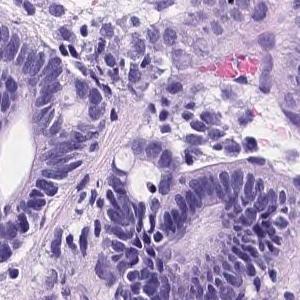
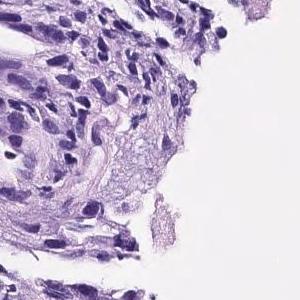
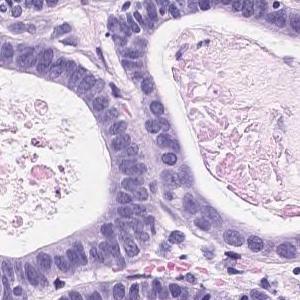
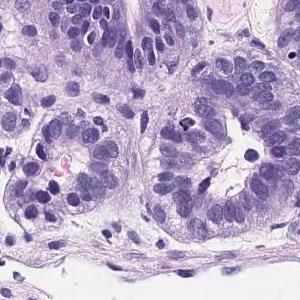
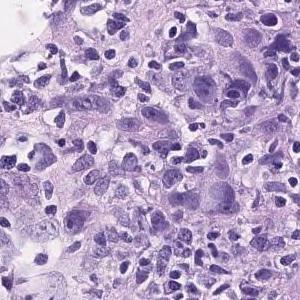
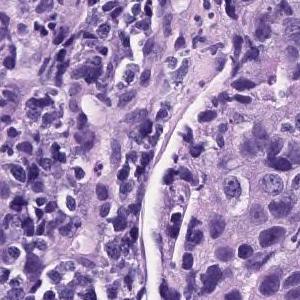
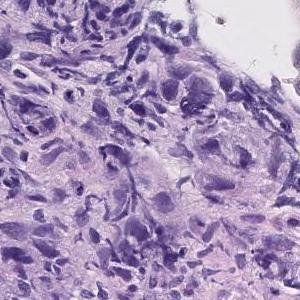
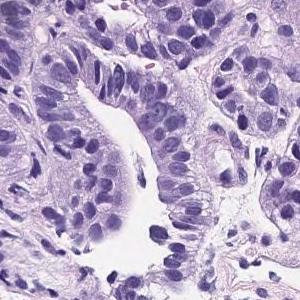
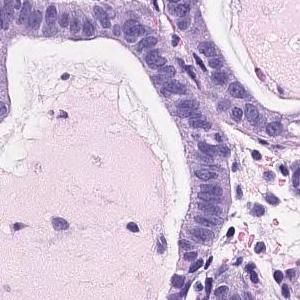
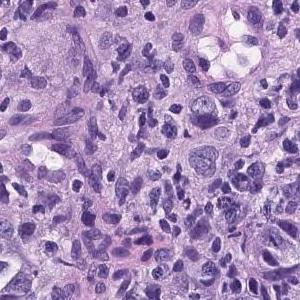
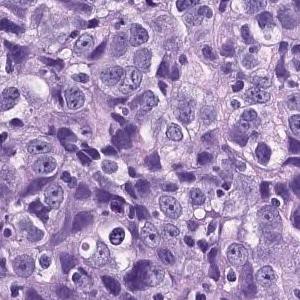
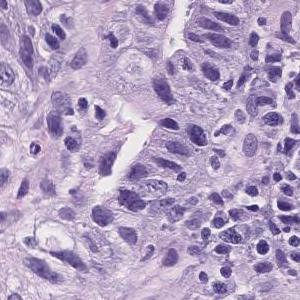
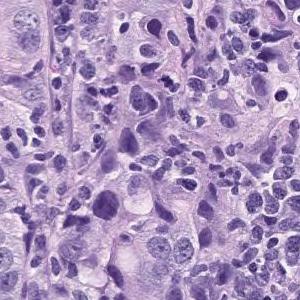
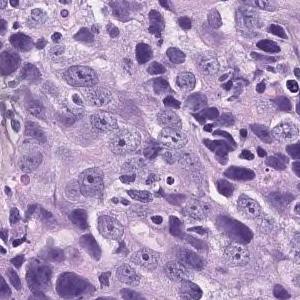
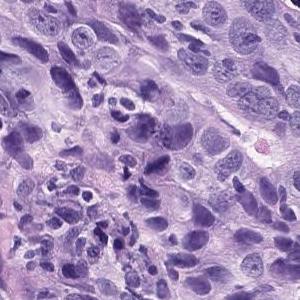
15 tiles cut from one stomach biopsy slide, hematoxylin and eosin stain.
Pathology report for the biopsy slide these tiles were cut from. The report and the diagnosis describe the slide as a whole, so these tiles may not show every feature named and may include non-tumor tissue.
The superficial epithelium shows a large sheet-like shape, and some tumor tissue infiltrates with small irregular ducts. Poorly differentiated adenocarcinoma, solid-type
Subtype: Poorly differentiated adenocarcinoma, solid type, a category of the Japanese Classification of Gastric Carcinoma; in the WHO 2019 classification it is tubular adenocarcinoma, poorly differentiated.
